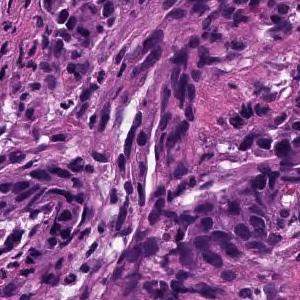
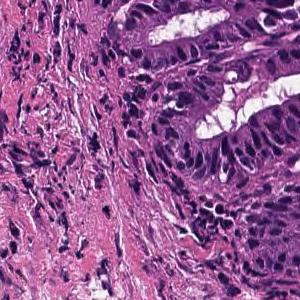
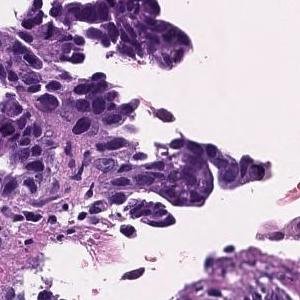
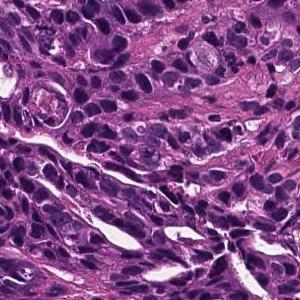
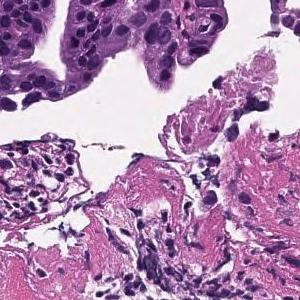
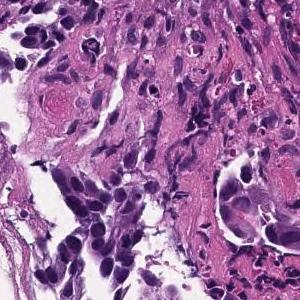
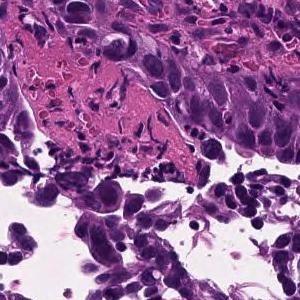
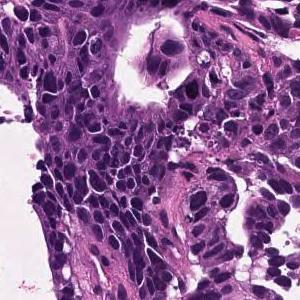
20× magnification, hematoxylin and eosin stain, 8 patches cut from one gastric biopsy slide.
Pathology report for the biopsy slide these tiles were cut from. The findings and the diagnosis refer to the entire slide; these tiles show only part of it, possibly with non-tumor tissue, and may not show every feature named.
Tumor cells are large, highly columnar, large club-shaped nuclei, and are associated with chromatin aggregation. Papillary adenocarcinoma.
